16 tiles cut from one stomach biopsy slide, 300×300 px each, scanned at ×20, H&E.
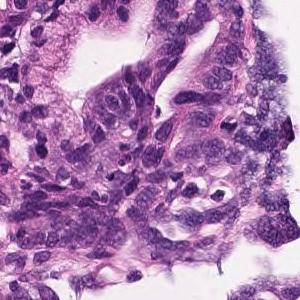
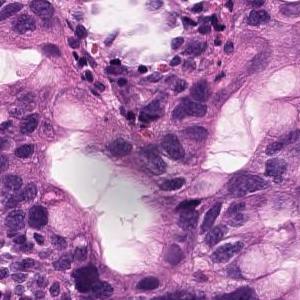
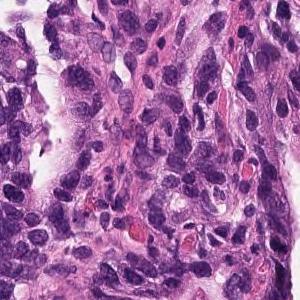
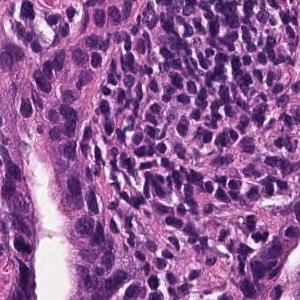
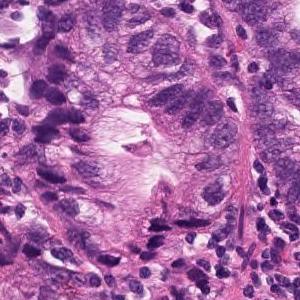
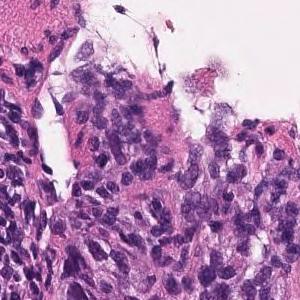
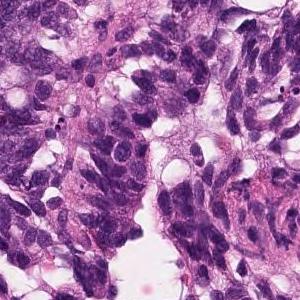
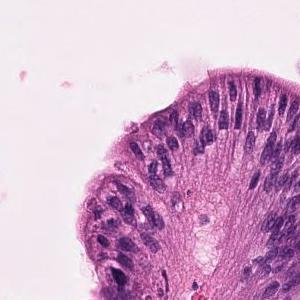
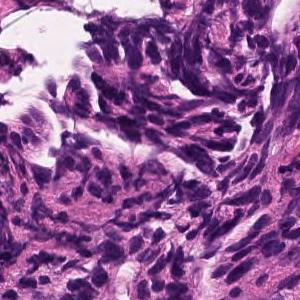
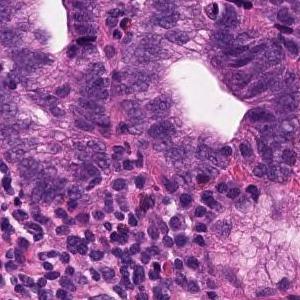
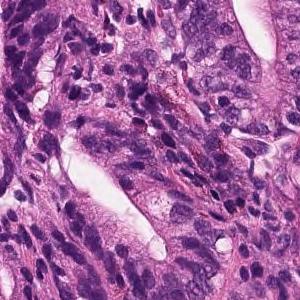
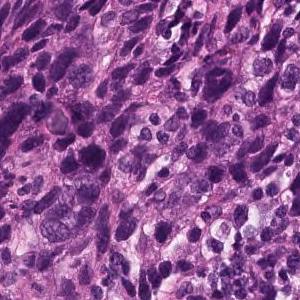
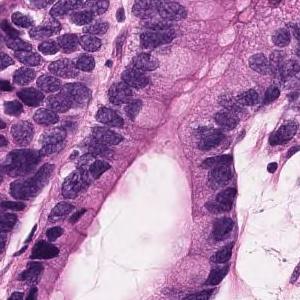
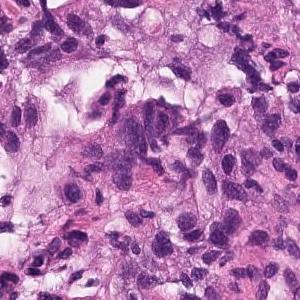
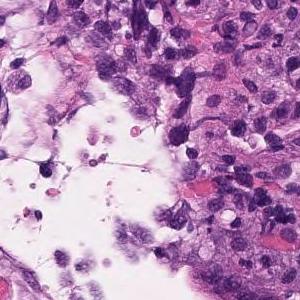
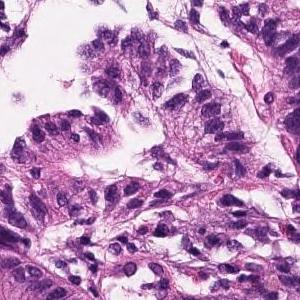
Diagnostic report for the slide these tiles come from. The report and the diagnosis cover the entire slide, so not every feature they name need be visible here, and some tissue shown may not be tumor.
In the superficial epithelium, tumor tissue that invades by forming medium-sized to small, irregular ducts is observed. Moderately differentiated adenocarcinoma.
Histologic type: Moderately differentiated tubular adenocarcinoma.
